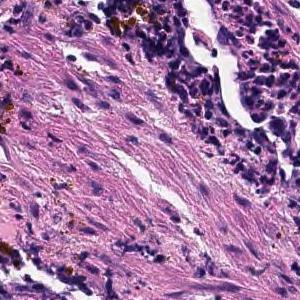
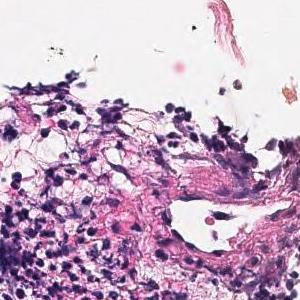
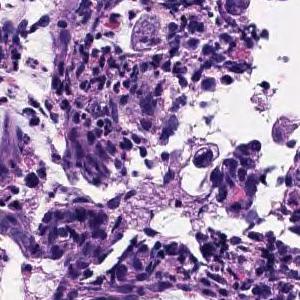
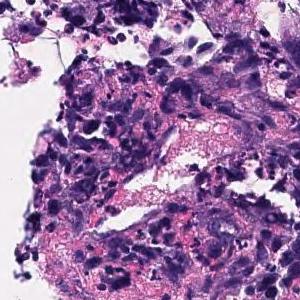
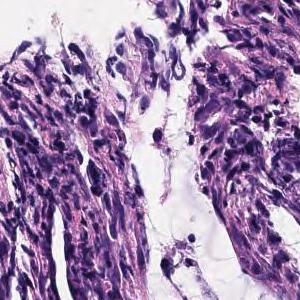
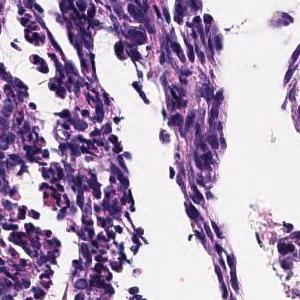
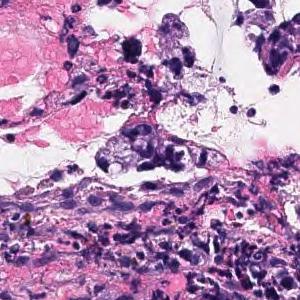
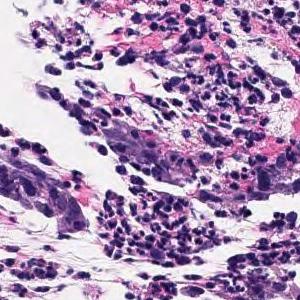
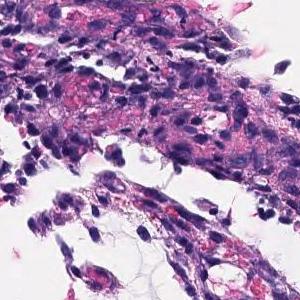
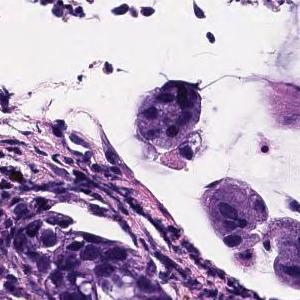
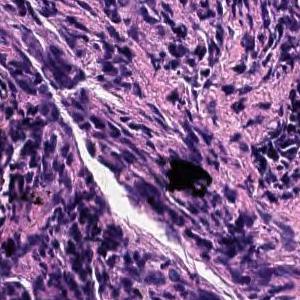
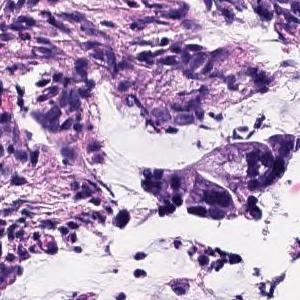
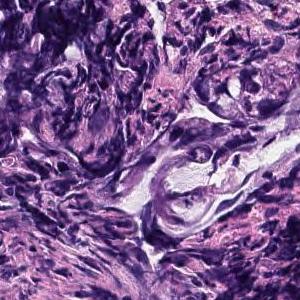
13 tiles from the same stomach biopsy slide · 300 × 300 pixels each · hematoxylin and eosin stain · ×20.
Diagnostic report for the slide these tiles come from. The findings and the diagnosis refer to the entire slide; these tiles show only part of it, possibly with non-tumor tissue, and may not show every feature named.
The superficial epithelium shows small cord-like infiltrating tumor tissue. Some part of neoplastic cells are signet ring cell type which show single invasion manner. Poorly differentiated adenocarcinoma, non-solid type.
The non-solid type named here is a Japanese Classification of Gastric Carcinoma category.
